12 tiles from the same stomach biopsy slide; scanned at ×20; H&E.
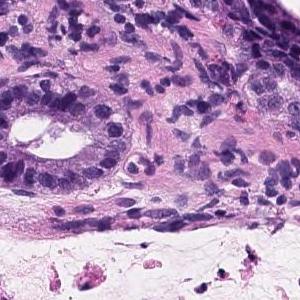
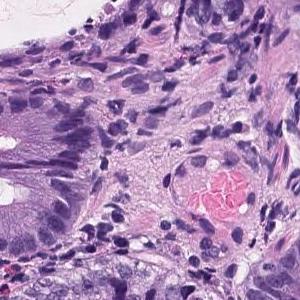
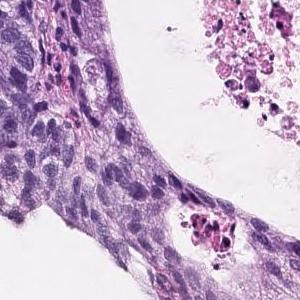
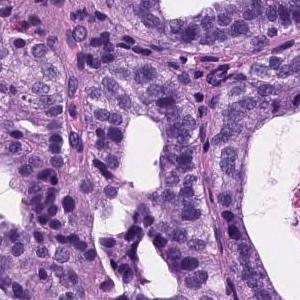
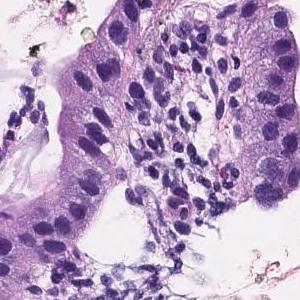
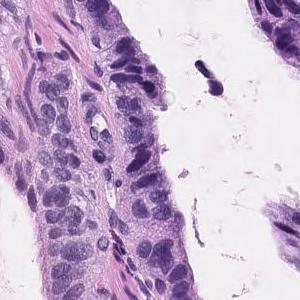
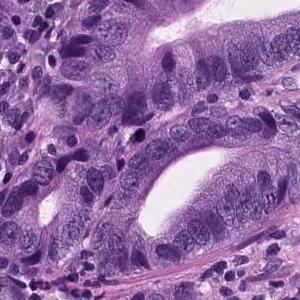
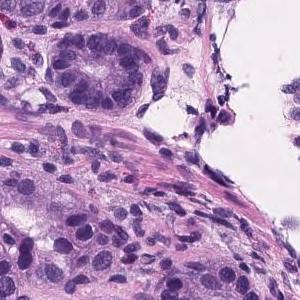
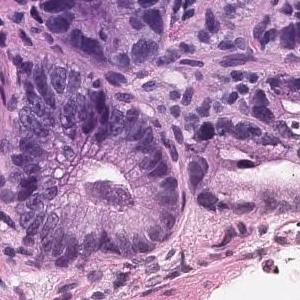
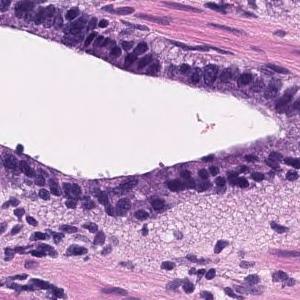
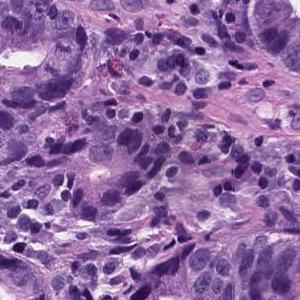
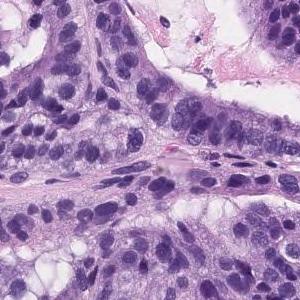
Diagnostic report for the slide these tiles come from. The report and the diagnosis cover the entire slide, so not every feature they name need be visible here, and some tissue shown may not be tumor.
Tumor tissue consisting of medium-sized and irregular ducts is observed infiltrating in the superficial epithelium. Tumor cells are highly columnar, with nuclei aligned basolaterally and polarized. Well differentiated tubular adenocarcinoma.
